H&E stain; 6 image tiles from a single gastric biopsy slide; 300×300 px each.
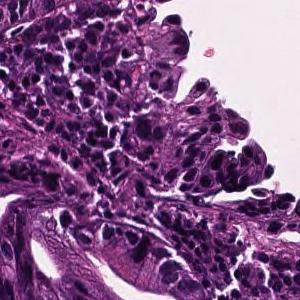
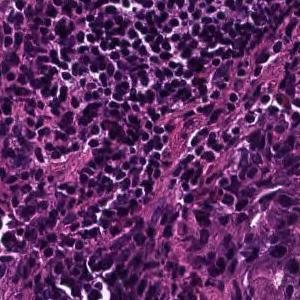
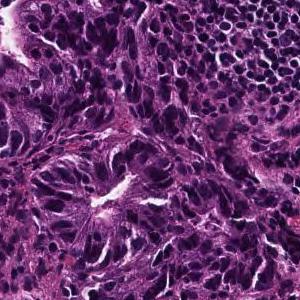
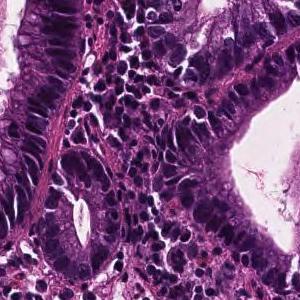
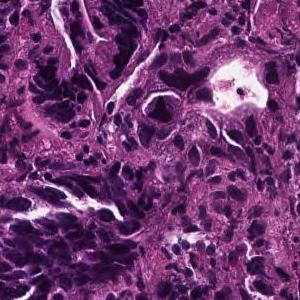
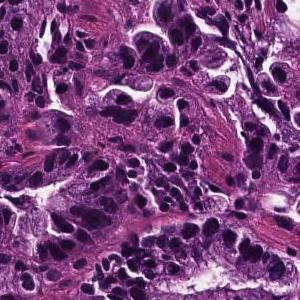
Pathology report for the biopsy slide these tiles were cut from. The report and the diagnosis cover the entire slide, so not every feature they name need be visible here, and some tissue shown may not be tumor.
In the superficial epithelium, tumor tissue that invades by forming medium-sized to small, irregular ducts is observed. Well differentiated tubular adenocarcinoma.
